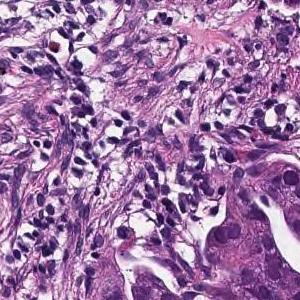
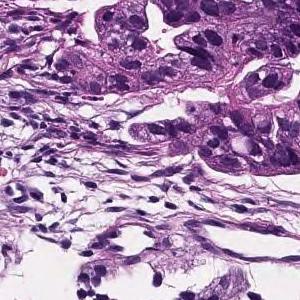
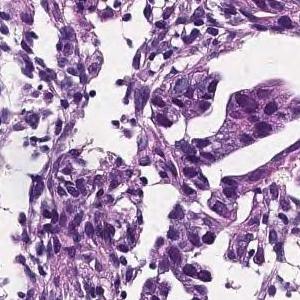
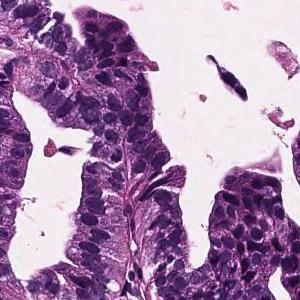
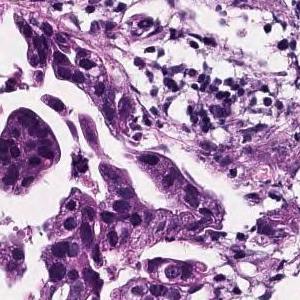
5 image tiles from a single gastric biopsy slide · 20× magnification · H&E stain.
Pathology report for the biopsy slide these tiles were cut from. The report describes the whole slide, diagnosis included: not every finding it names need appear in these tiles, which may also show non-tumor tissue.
In the lamina propria, tumor tissue that invades by forming medium-sized to small, irregular glandular ducts is observed. moderately differentiated tubular adenocarcinoma
